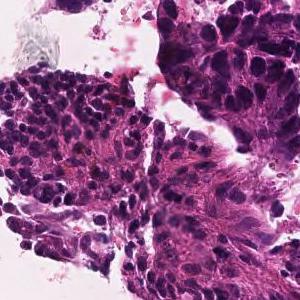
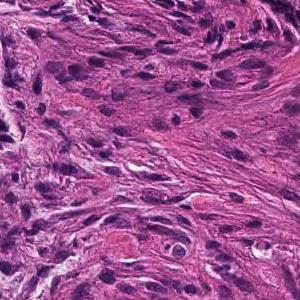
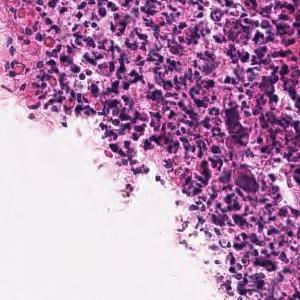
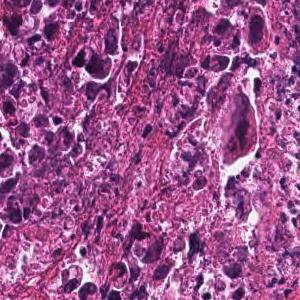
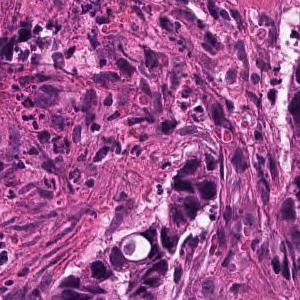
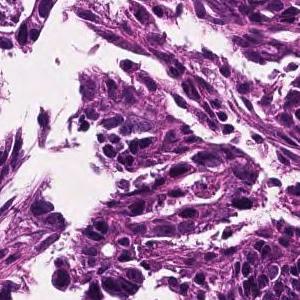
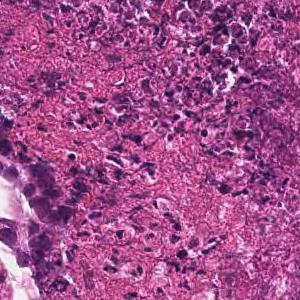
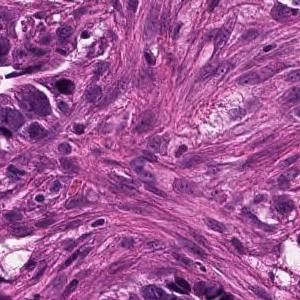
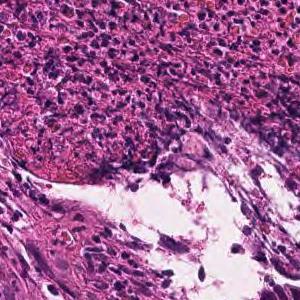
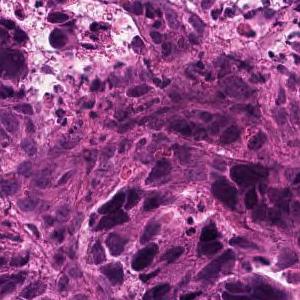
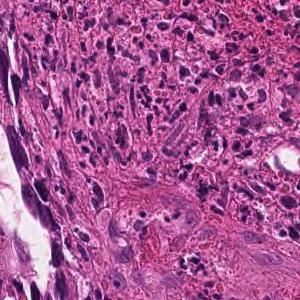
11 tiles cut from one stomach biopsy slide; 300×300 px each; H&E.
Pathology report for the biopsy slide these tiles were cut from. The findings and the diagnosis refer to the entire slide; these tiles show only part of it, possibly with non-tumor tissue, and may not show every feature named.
In the superficial epithelium, tumor tissue that invades by forming medium-sized to small, irregular ducts is observed. moderately differentiated tubular adenocarcinoma.
